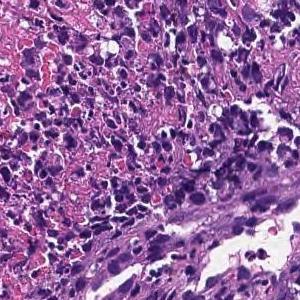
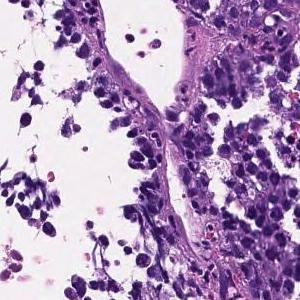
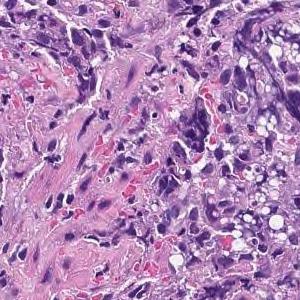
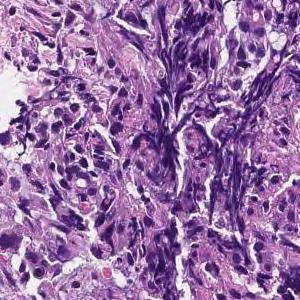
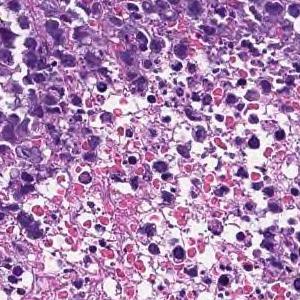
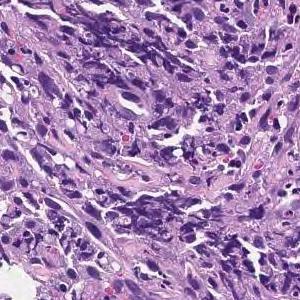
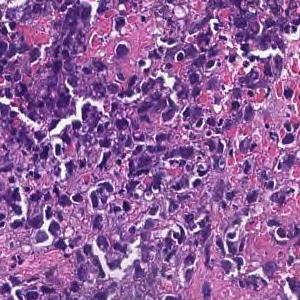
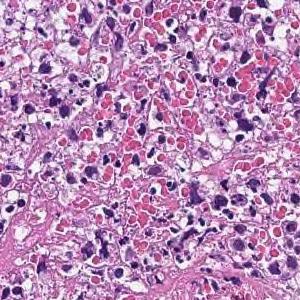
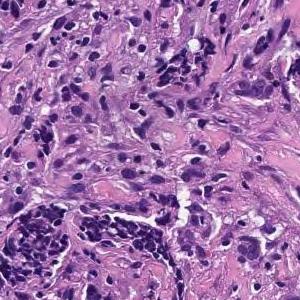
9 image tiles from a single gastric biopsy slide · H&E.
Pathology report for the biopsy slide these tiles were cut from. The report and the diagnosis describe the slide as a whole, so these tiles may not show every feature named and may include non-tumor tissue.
Most are composed of coagulative necrotic tissue, but some show a large sheet-like shape, and some show tumor tissue infiltrating with a small cord-like structure. Poorly differentiated adenocarcinoma, solid-type
Histologic type: Poorly differentiated adenocarcinoma, solid type. This name comes from the Japanese Classification of Gastric Carcinoma; the WHO 2019 classification calls it tubular adenocarcinoma, poorly differentiated.
